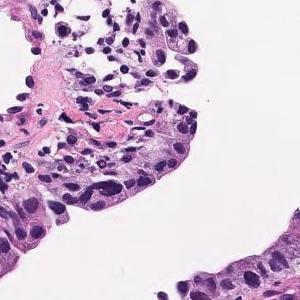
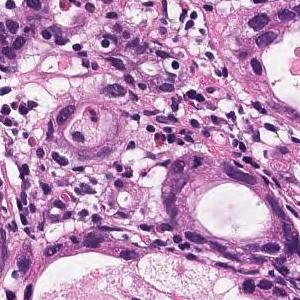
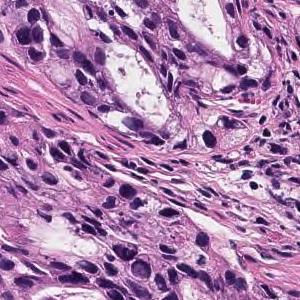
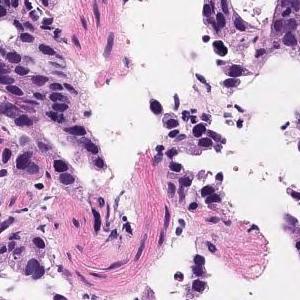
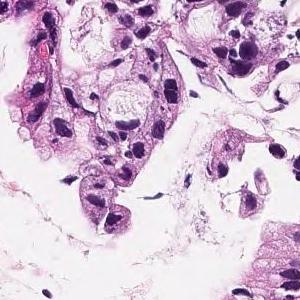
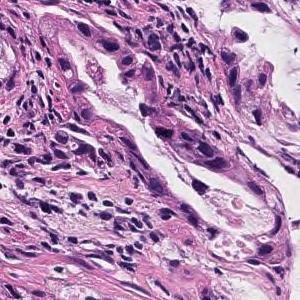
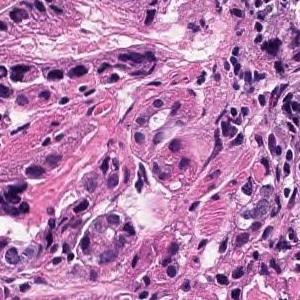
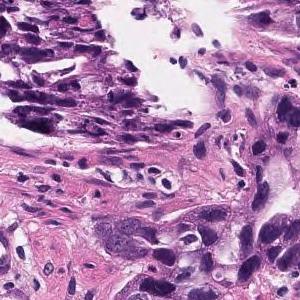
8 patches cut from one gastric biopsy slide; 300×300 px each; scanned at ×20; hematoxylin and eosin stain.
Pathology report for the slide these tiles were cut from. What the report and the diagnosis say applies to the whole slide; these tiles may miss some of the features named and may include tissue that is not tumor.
In the superficial epithelium, tumor tissue that invades by forming medium-sized to small, irregular ducts is observed. Moderately differentiated adenocarcinoma.
Classified as moderately differentiated tubular adenocarcinoma.
